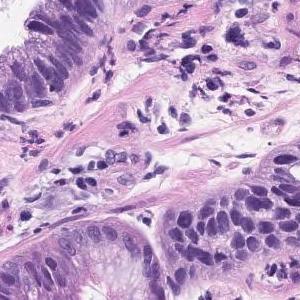
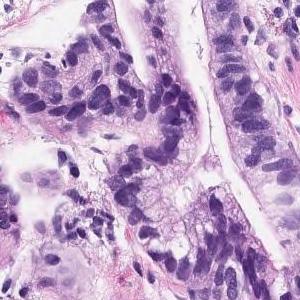
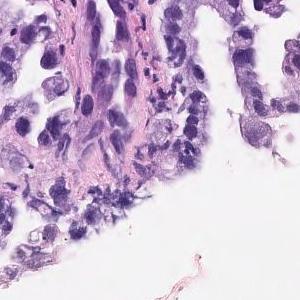
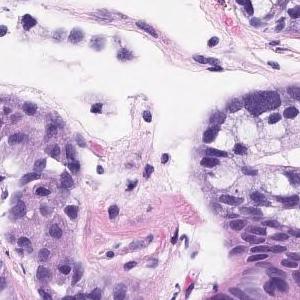
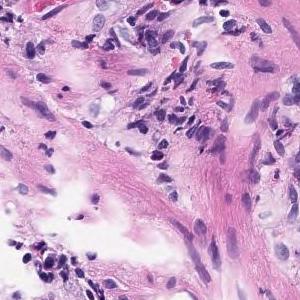
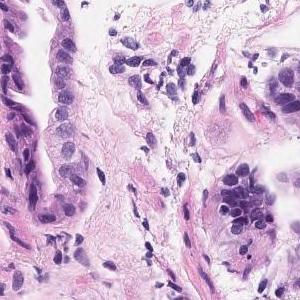
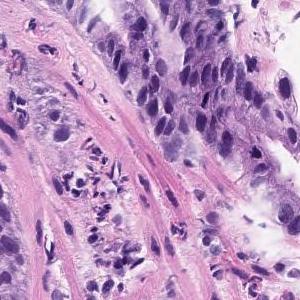
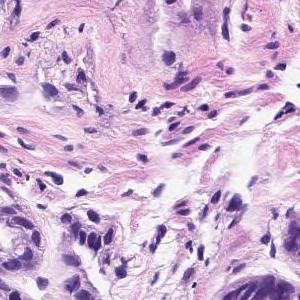
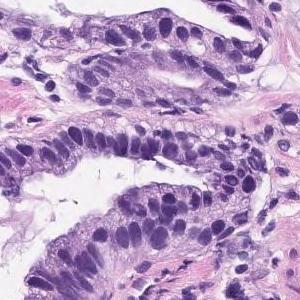
20× magnification · H&E · 9 image tiles from a single gastric biopsy slide · each 300 × 300 pixels.
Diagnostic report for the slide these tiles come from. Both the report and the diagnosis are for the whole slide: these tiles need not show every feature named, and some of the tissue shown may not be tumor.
The superficial tumors shows large papillary structures or large and small ducts and infiltrates. Papillary adenocarcinoma.
